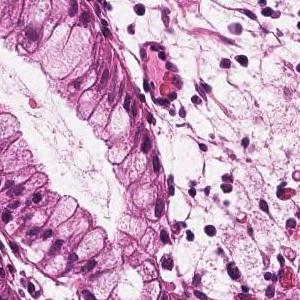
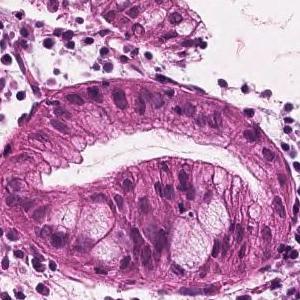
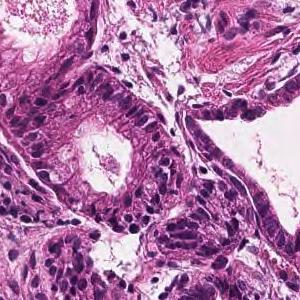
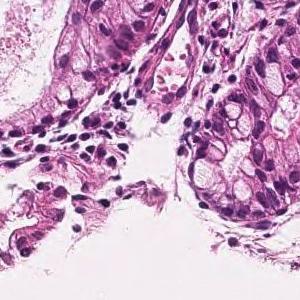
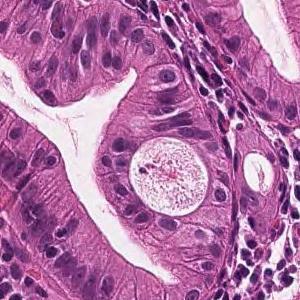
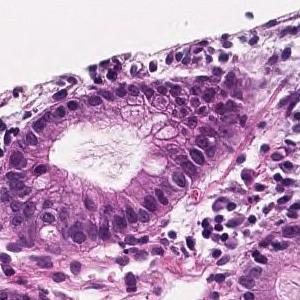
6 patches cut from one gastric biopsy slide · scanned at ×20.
Report on the slide these tiles come from. The findings and the diagnosis refer to the entire slide; these tiles show only part of it, possibly with non-tumor tissue, and may not show every feature named.
In the superficial epithelium, tumor tissue that invades by forming medium-sized to small, irregular ducts is observed. Well differentiated tubular adenocarcinoma.
